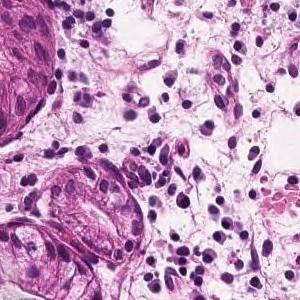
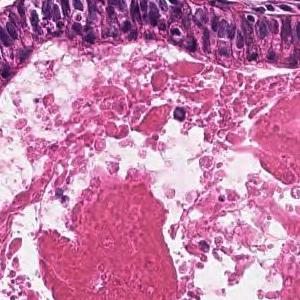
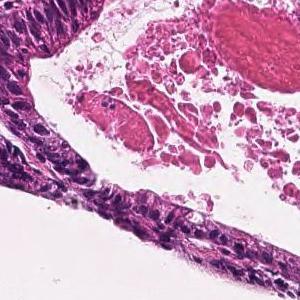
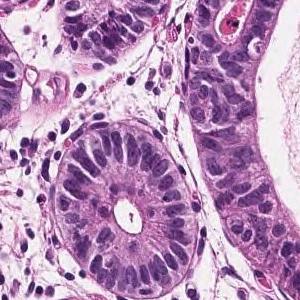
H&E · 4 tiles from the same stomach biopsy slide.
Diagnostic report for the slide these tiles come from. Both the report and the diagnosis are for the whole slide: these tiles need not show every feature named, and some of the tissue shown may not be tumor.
In the superficial epithelium, tumor tissue that invades by forming medium-sized to small, irregular ducts is observed. Well differentiated tubular adenocarcinoma.
